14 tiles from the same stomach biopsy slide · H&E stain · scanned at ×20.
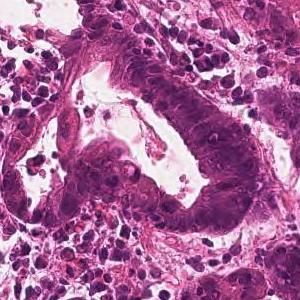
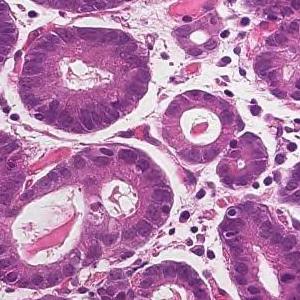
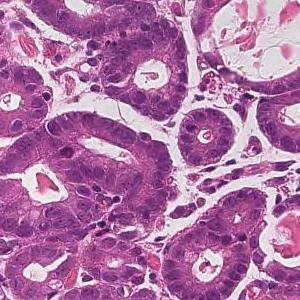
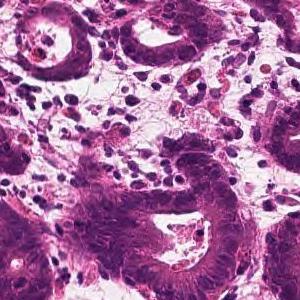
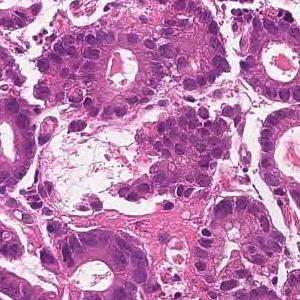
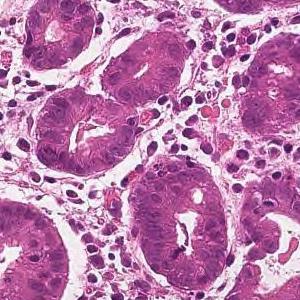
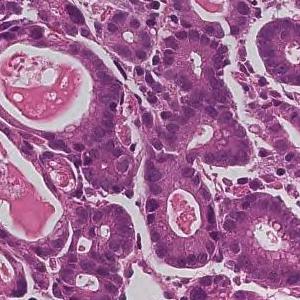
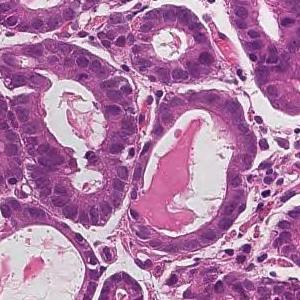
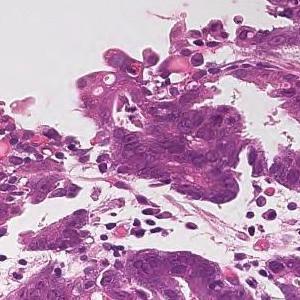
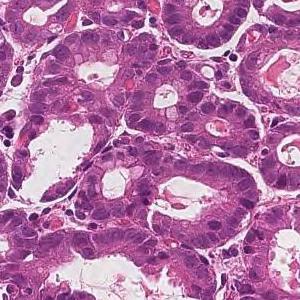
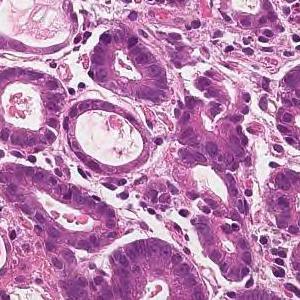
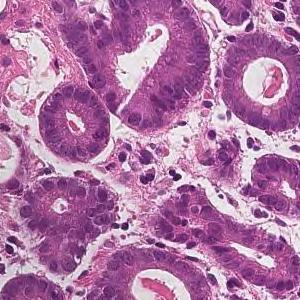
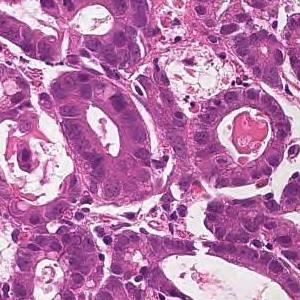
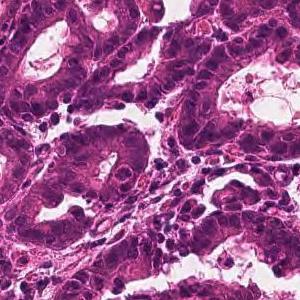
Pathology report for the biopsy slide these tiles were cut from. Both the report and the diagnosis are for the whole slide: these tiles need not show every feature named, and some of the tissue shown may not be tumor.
From the superficial epithelium to the muscularis mucosae, tumor tissue consisting of medium-sized and irregular glandular ducts infiltrating is observed. Well differentiated tubular adenocarcinoma
